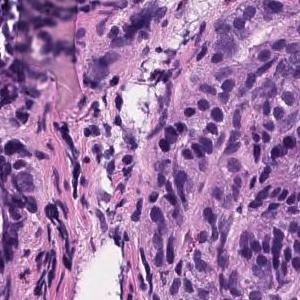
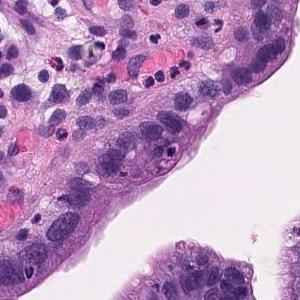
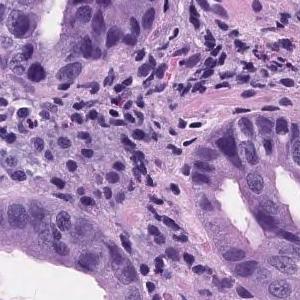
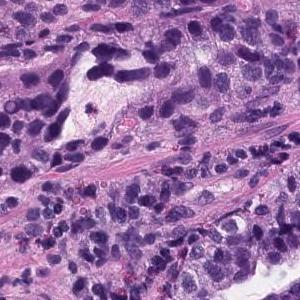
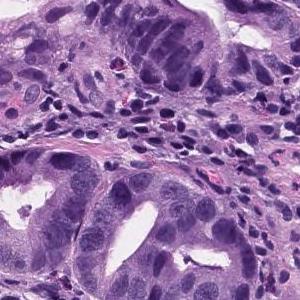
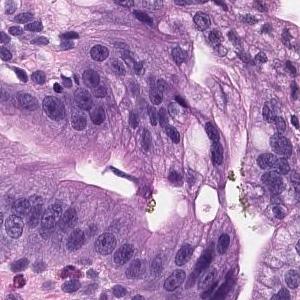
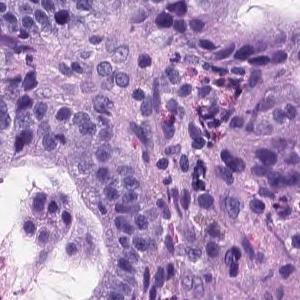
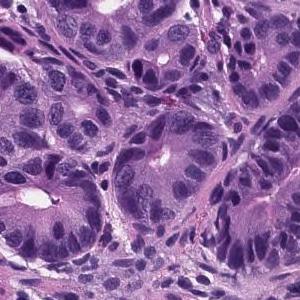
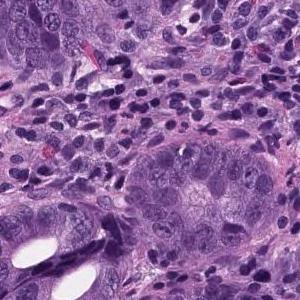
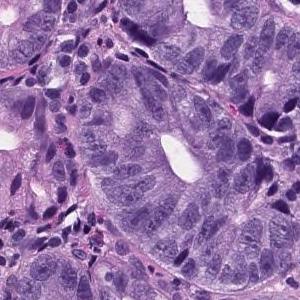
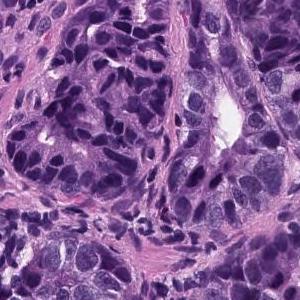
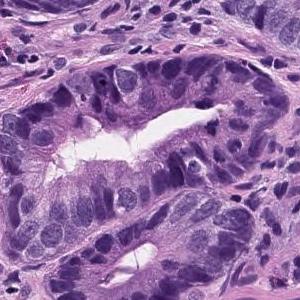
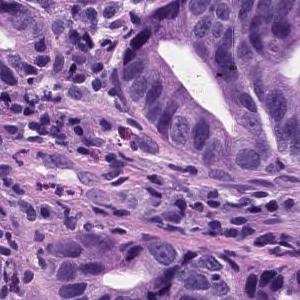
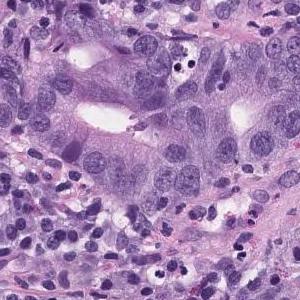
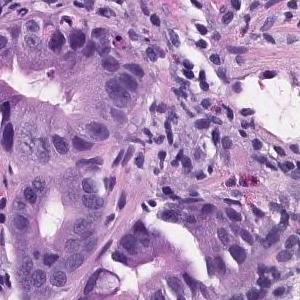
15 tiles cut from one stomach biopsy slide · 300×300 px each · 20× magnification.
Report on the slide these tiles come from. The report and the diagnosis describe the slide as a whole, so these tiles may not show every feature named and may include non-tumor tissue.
Tumor tissue consisting of medium-sized and irregular ducts is observed infiltrating in the superficial epithelium. Tumor cells are highly columnar, with nuclei aligned basolaterally and polarized. Well differentiated tubular adenocarcinoma.
